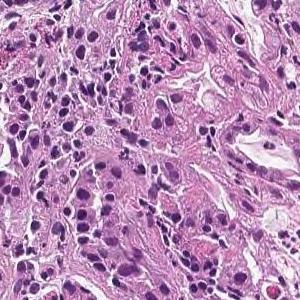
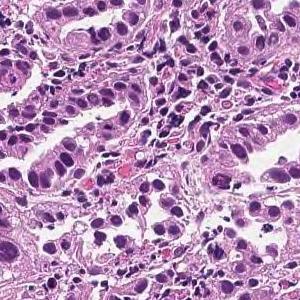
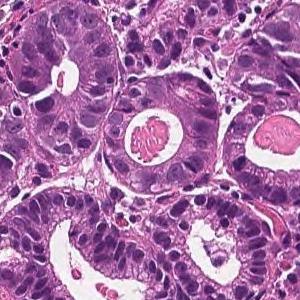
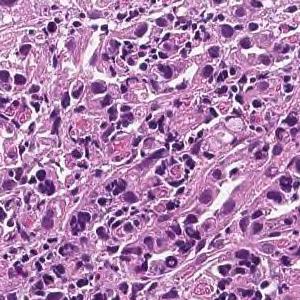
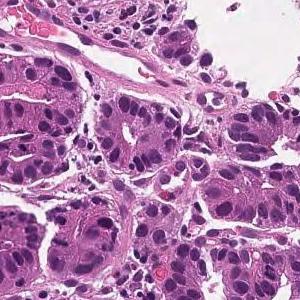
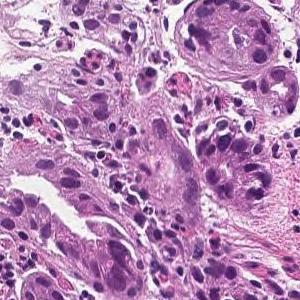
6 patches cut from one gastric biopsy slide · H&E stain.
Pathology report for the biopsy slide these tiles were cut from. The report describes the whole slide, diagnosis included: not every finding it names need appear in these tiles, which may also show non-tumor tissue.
On the superficial epithelium, tumor tissue consisting of large irregular glandular ducts partially fused and infiltrated is observed. Well to moderately differentiated tubular adenocarcinoma (well differentiated tubular adenocarcinoma, moderately differentiated tubular adenocarcinoma)
Classified as well to moderately differentiated tubular adenocarcinoma.
